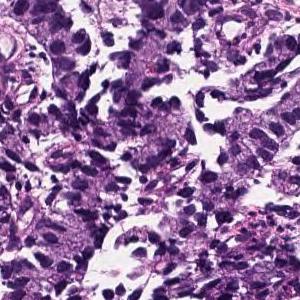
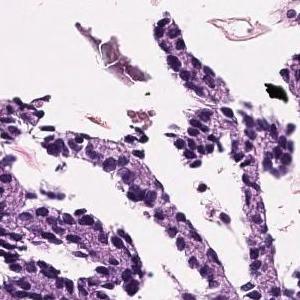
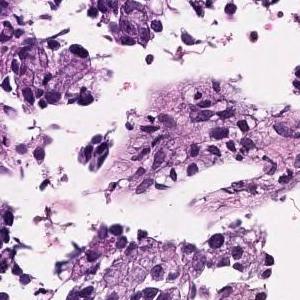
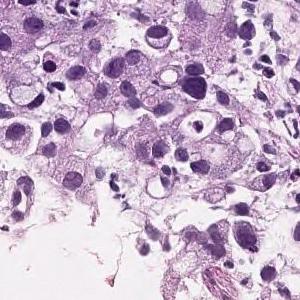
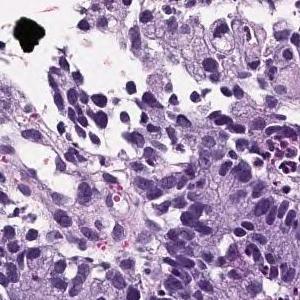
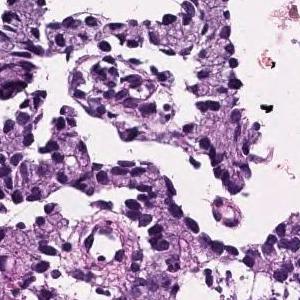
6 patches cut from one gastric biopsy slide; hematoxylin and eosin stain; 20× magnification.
The pathologist's report on the biopsy slide these tiles were taken from. The report and the diagnosis describe the slide as a whole, so these tiles may not show every feature named and may include non-tumor tissue.
Tumor tissue infiltrated by irregular fusion of small cord-like structures is found in the superficial epithelium. Poorly differentiated adenocarcinoma, non-solid type
"Non-solid type" is a category of the Japanese Classification of Gastric Carcinoma.
